8 tiles cut from one stomach biopsy slide · each 300 × 300 pixels · ×20 · H&E stain.
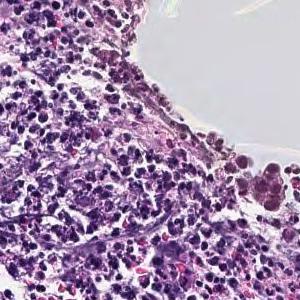
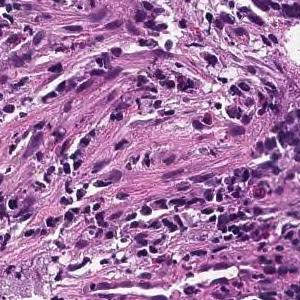
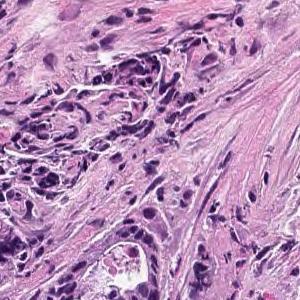
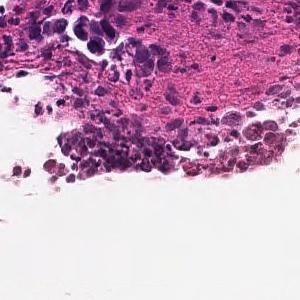
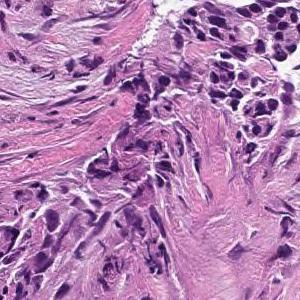
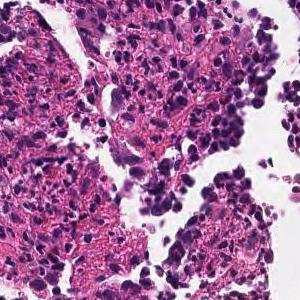
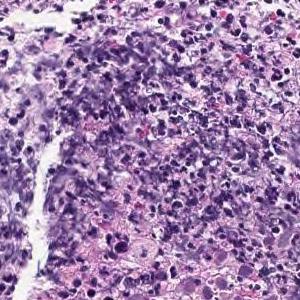
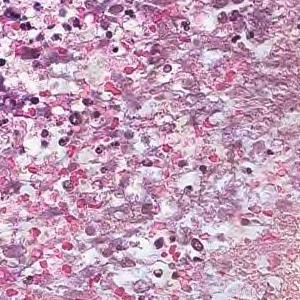
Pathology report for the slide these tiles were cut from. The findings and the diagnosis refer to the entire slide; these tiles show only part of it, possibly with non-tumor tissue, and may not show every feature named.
In the superficial epithelium, tumor tissue that invades by forming medium-sized to small, irregular ducts is observed. moderately differentiated tubular adenocarcinoma.
